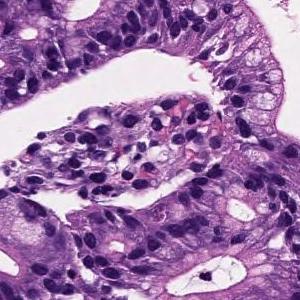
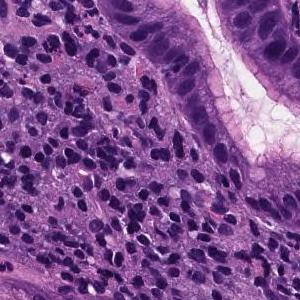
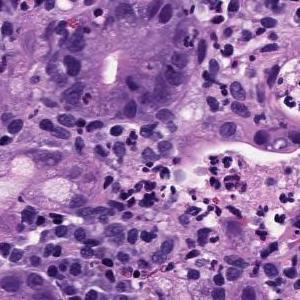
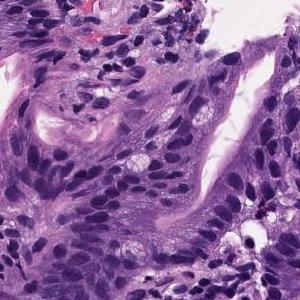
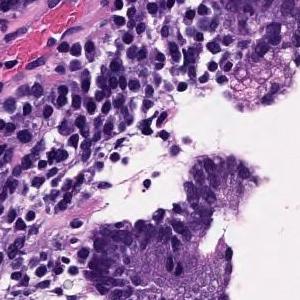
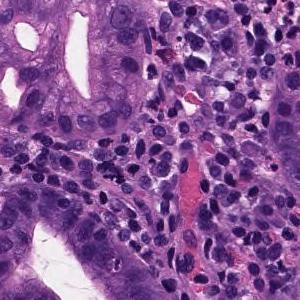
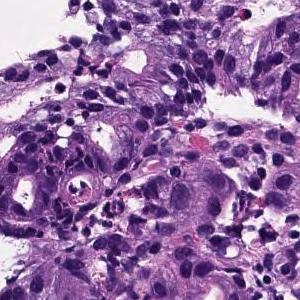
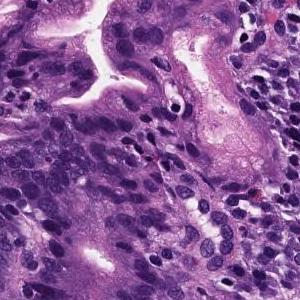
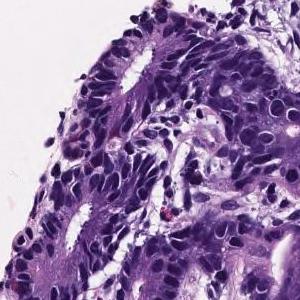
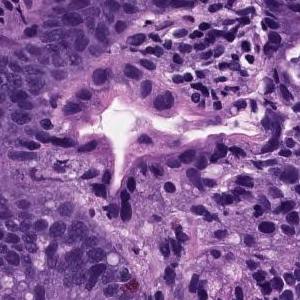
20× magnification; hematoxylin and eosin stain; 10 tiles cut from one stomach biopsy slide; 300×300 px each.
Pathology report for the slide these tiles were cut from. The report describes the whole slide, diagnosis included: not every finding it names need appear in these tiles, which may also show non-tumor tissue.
Medium to small, irregular glandular ducts are formed in the superficial epithelium, and in some cases, the glandular ducts are fused to show solid alveolar lesions and infiltrating tumor tissue is observed. Moderately to poorly differentiated adenocarcinoma.
